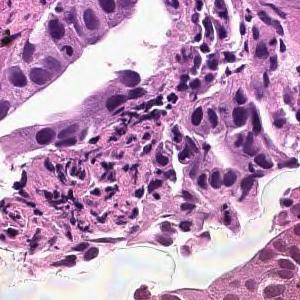
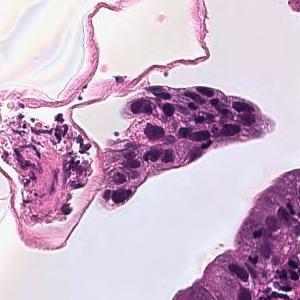
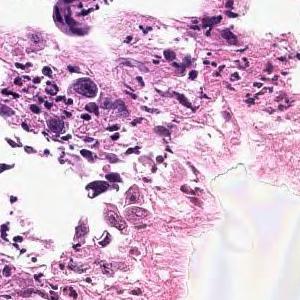
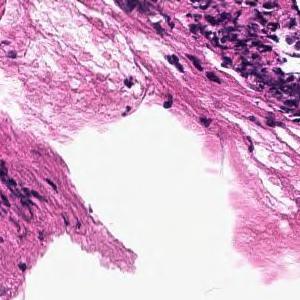
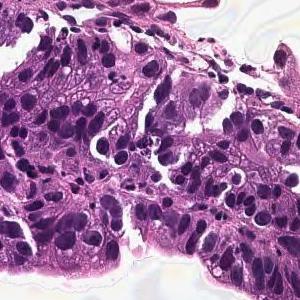
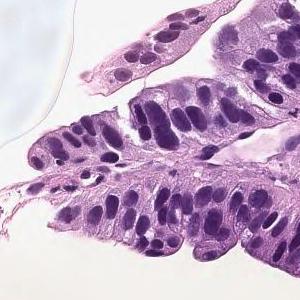
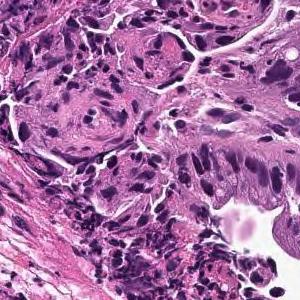
7 tiles from the same stomach biopsy slide · H&E stain.
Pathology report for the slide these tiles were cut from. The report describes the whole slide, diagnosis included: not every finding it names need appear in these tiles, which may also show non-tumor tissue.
On the superficial epithelium, tumor tissue that infiltrates by forming medium-sized papillary or small irregular ducts is observed. Papillary adenocarcinoma
